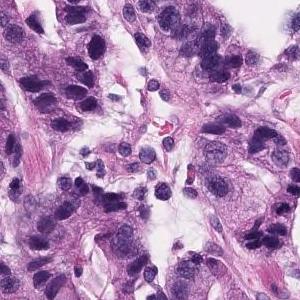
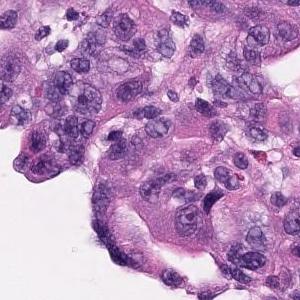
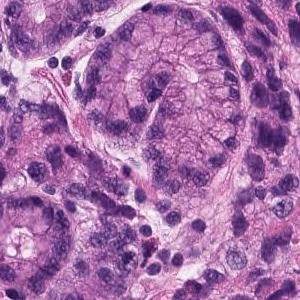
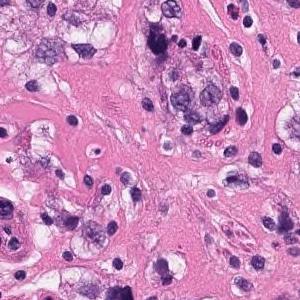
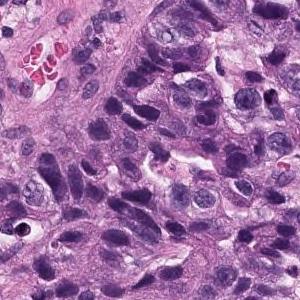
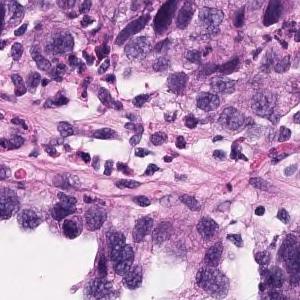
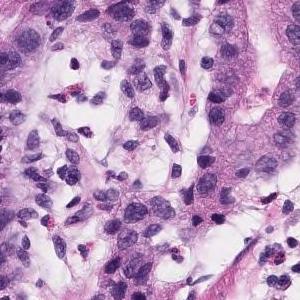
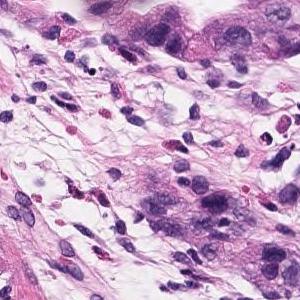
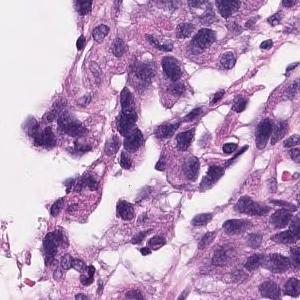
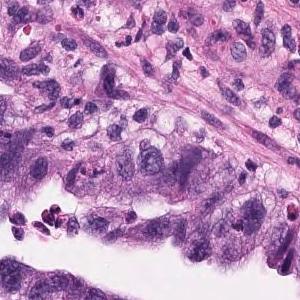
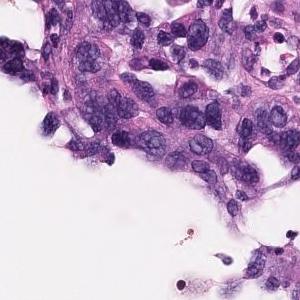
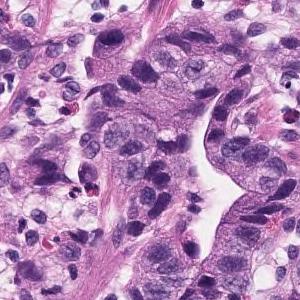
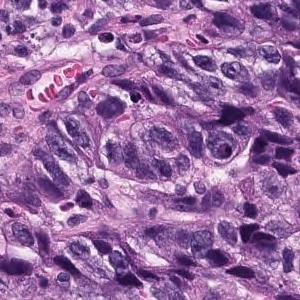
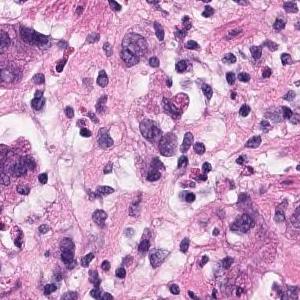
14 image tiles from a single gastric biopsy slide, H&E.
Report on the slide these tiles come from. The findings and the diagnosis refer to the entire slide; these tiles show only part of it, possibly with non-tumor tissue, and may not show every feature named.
Atypical l cells with atypical nuclei forming diffuse or small irregular atypical ducts and growing. Moderately to poorly differentiated adenocarcinoma (poorly differentiated adenocarcinoma, solid type, moderately differentiated tubular adenocarcinoma)
Tumor subtype: moderately to poorly differentiated adenocarcinoma.
"Solid type" is a category of the Japanese Classification of Gastric Carcinoma; in the WHO 2019 classification it is tubular adenocarcinoma, poorly differentiated.
